6 tiles from the same stomach biopsy slide; H&E stain; ×20.
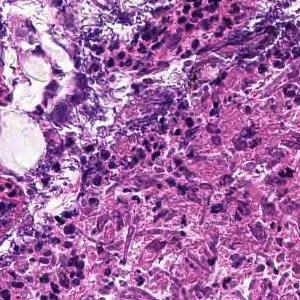
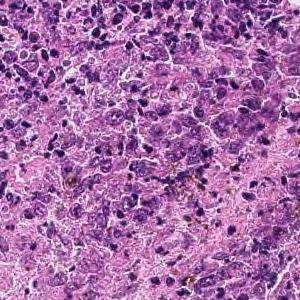
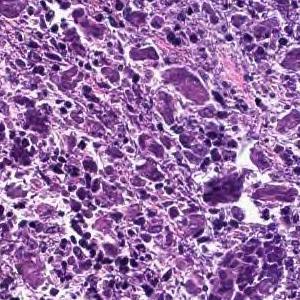
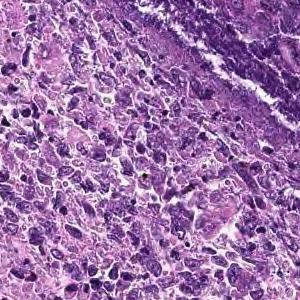
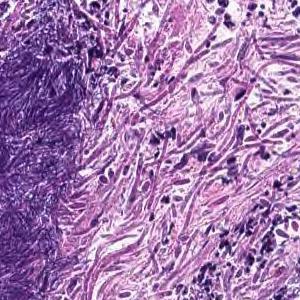
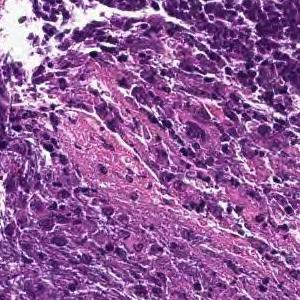
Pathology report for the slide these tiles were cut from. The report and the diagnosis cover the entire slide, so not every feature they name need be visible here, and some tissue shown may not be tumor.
Cancers with polygonal nuclei do not show glandular formation and are densely, in part, cord-like and proliferate. Poorly differentiated adenocarcinoma
Histologic type: Poorly differentiated adenocarcinoma, non-solid type.
The non-solid type named here is a Japanese Classification of Gastric Carcinoma category.
